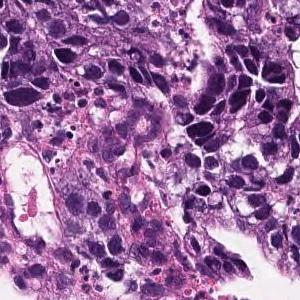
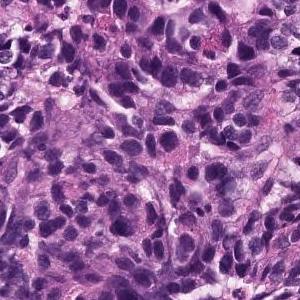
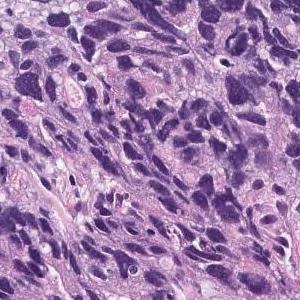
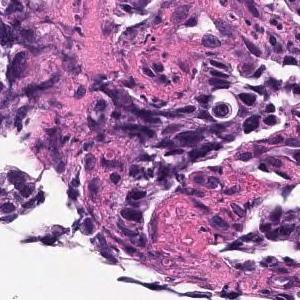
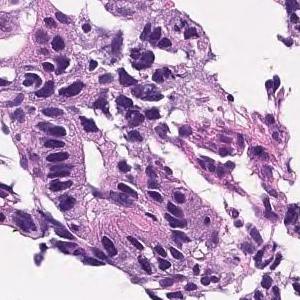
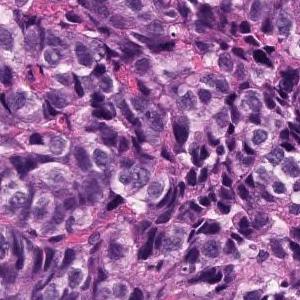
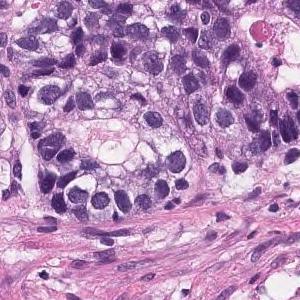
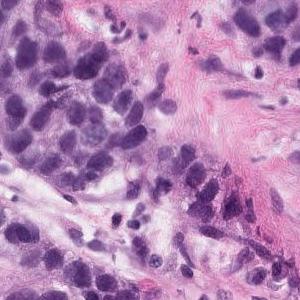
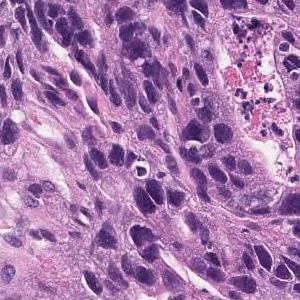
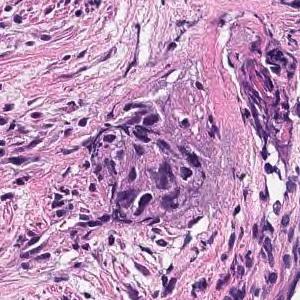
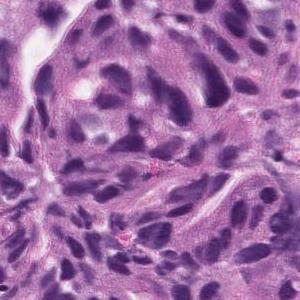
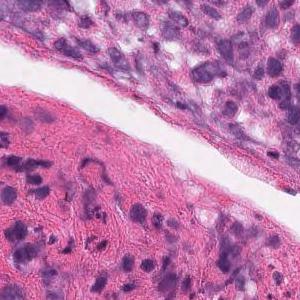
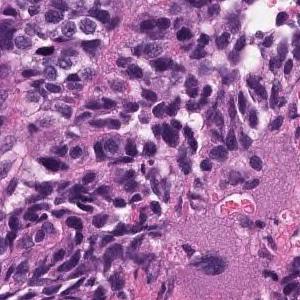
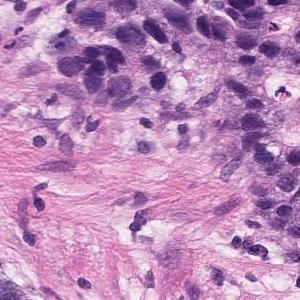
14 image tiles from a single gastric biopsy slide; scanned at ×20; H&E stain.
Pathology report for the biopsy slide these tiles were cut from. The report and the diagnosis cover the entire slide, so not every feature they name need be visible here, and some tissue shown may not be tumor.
Medium to small, irregular glandular ducts are formed in the superficial epithelium, and in some cases, the glandular ducts are fused to show solid alveolar lesions and infiltrating tumor tissue is observed. Moderately to poorly differentiated adenocarcinoma.
